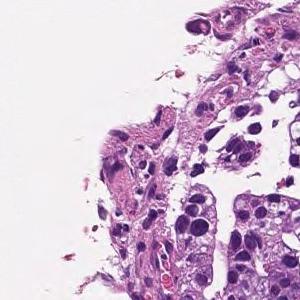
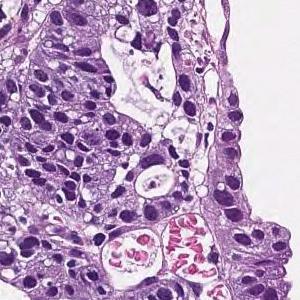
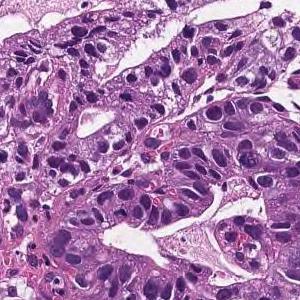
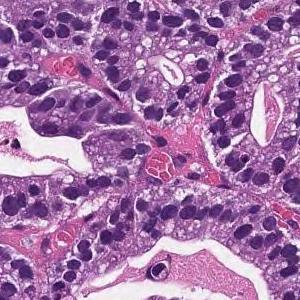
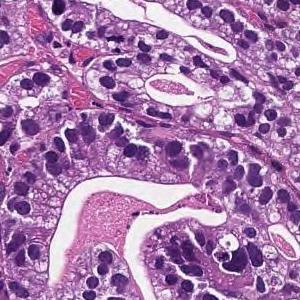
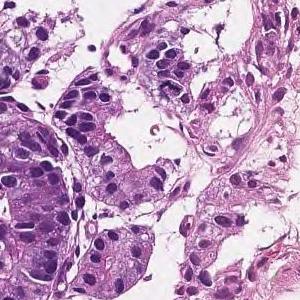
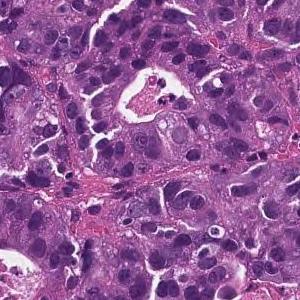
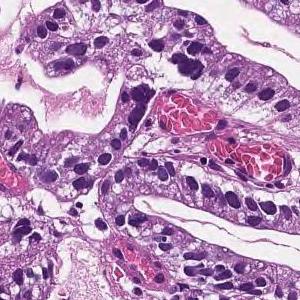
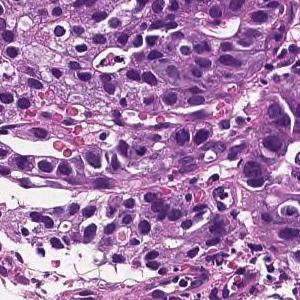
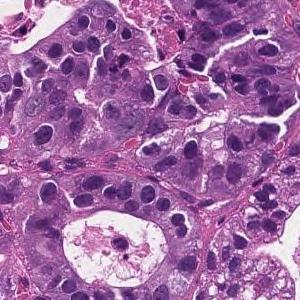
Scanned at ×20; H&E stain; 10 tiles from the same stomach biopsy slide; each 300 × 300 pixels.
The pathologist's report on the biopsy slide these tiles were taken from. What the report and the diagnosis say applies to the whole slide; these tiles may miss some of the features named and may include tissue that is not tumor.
On the superficial epithelium, tumor tissue consisting of large, irregular glandular ducts partially fused and infiltrated is observed. Well to moderately differentiated tubular adenocarcinoma (well differentiated tubular adenocarcinoma, moderately differentiated tubular adenocarcinoma)
Histologic type: Well to moderately differentiated tubular adenocarcinoma.
